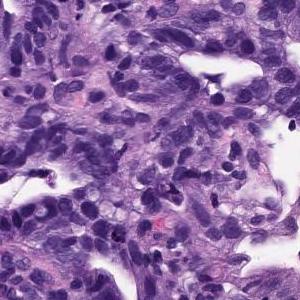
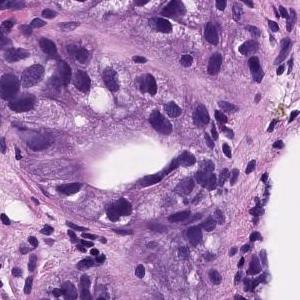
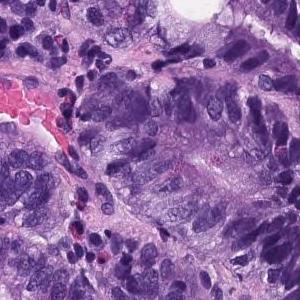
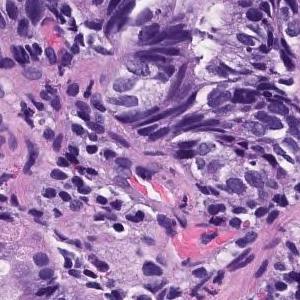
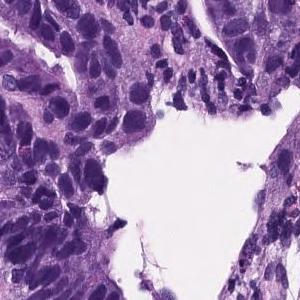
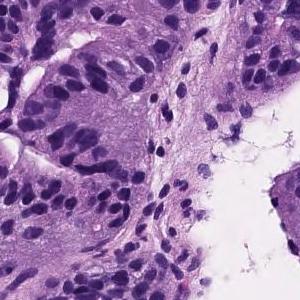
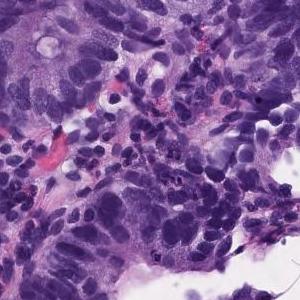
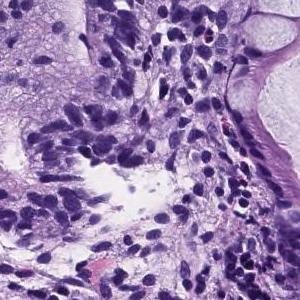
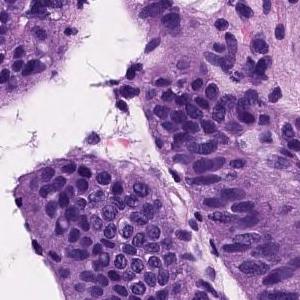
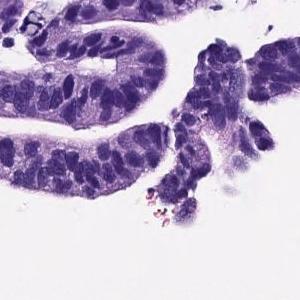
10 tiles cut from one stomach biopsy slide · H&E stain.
Report on the slide these tiles come from. What the report and the diagnosis say applies to the whole slide; these tiles may miss some of the features named and may include tissue that is not tumor.
Atypical epithelial cells are proliferating to replace the foveolar epithelium is observed. Well differentiated tubular adenocarcinoma.
